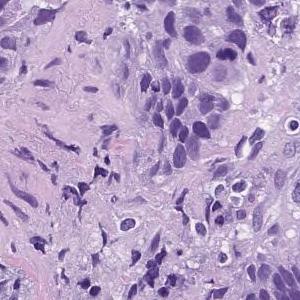
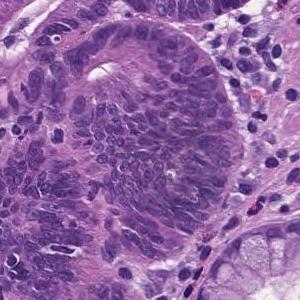
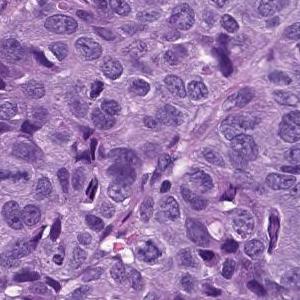
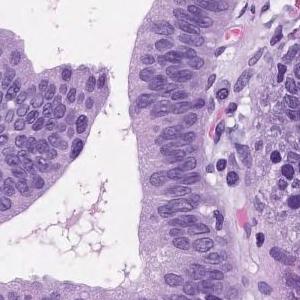
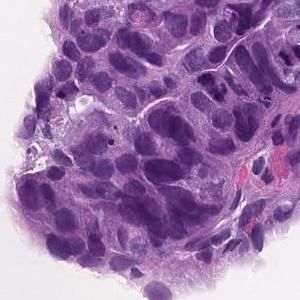
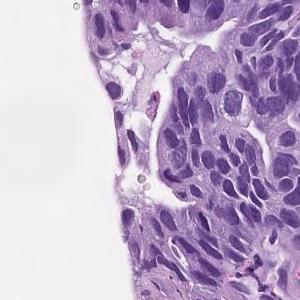
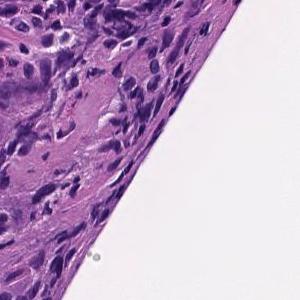
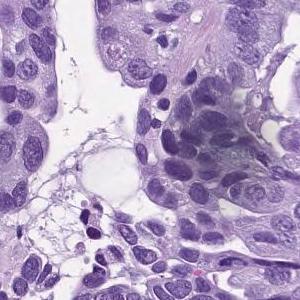
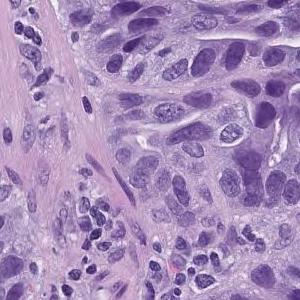
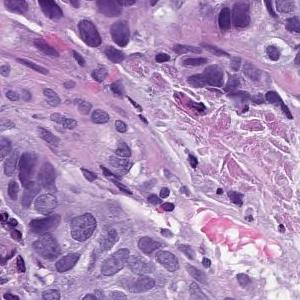
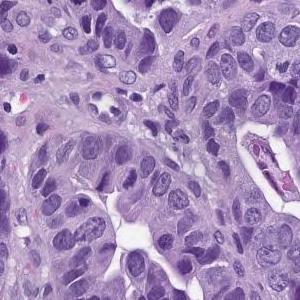
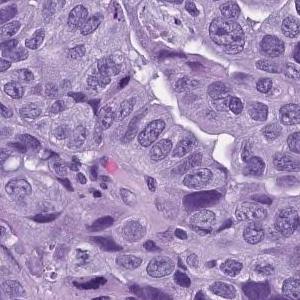
12 tiles cut from one stomach biopsy slide, 300×300 px each, 20× magnification.
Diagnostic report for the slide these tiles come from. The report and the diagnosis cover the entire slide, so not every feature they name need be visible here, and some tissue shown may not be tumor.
In the superficial epithelium, tumor tissue that invades by forming medium-sized to small, irregular ducts is observed. moderately differentiated tubular adenocarcinoma.
